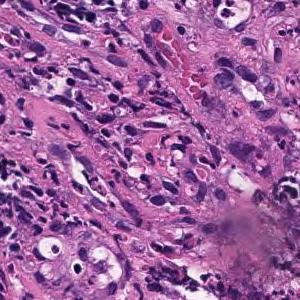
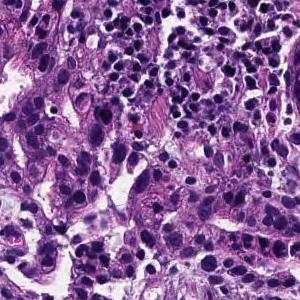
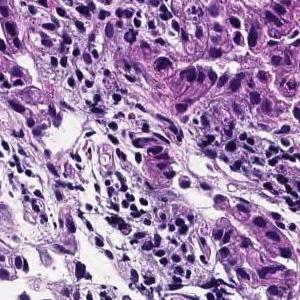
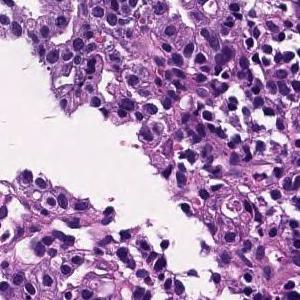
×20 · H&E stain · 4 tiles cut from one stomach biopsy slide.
Diagnostic report for the slide these tiles come from. Both the report and the diagnosis are for the whole slide: these tiles need not show every feature named, and some of the tissue shown may not be tumor.
Medium to small, irregular glandular ducts are formed in the superficial epithelium, and in some cases, the glandular ducts are fused to show solid alveolar lesions and infiltrating tumor tissue is observed. Moderately to poorly differentiated adenocarcinoma.
